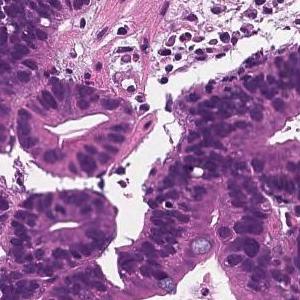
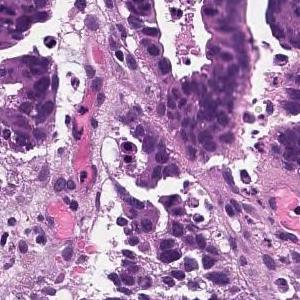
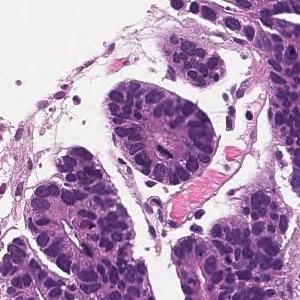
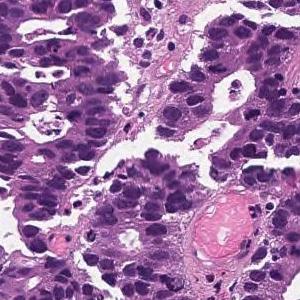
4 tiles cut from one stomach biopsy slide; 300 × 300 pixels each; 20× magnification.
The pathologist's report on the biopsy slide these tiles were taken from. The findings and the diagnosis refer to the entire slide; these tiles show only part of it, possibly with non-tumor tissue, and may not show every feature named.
In the superficial epithelium, tumor tissue that invades by forming medium-sized to small, irregular ducts is observed. moderately differentiated tubular adenocarcinoma.
